H&E · 16 patches cut from one gastric biopsy slide · 300×300 px each.
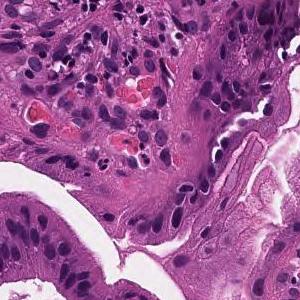
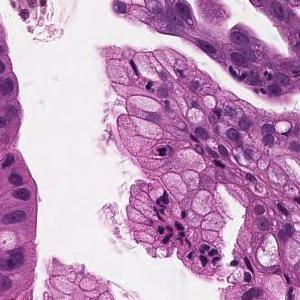
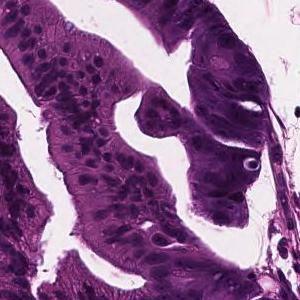
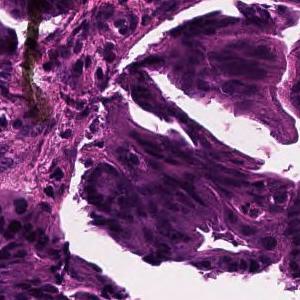
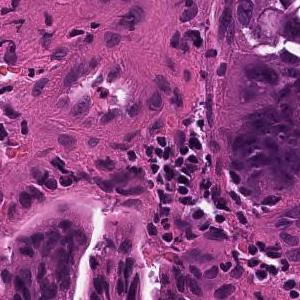
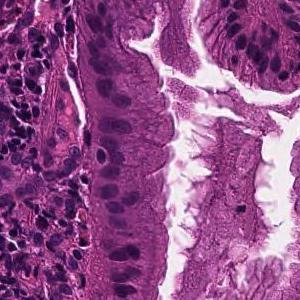
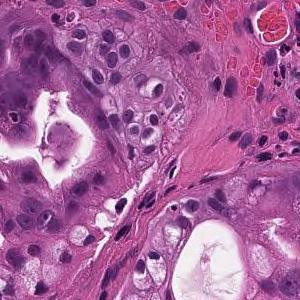
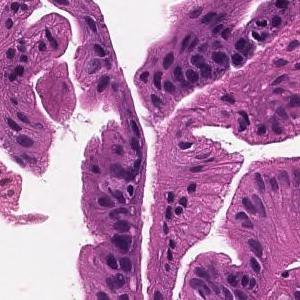
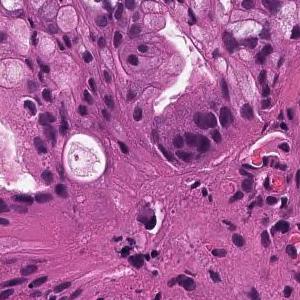
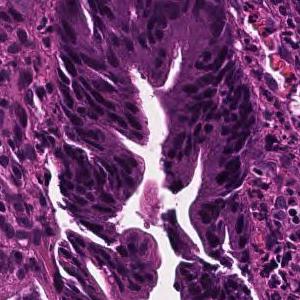
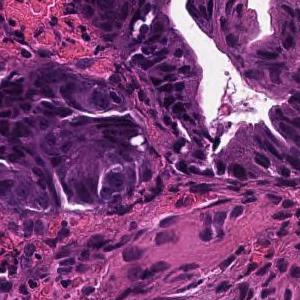
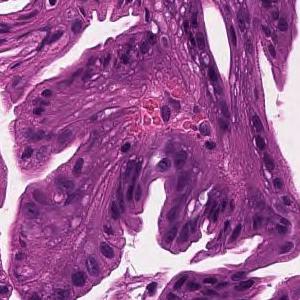
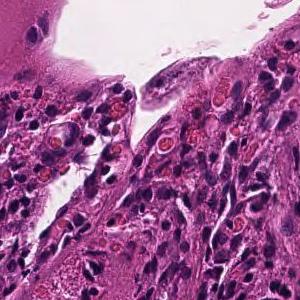
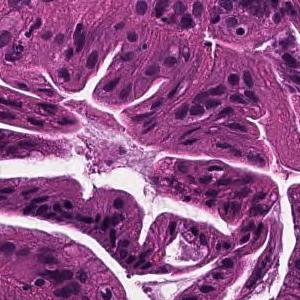
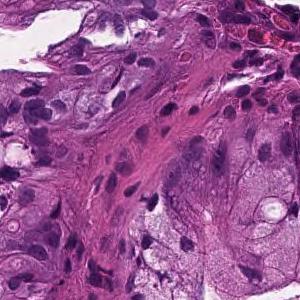
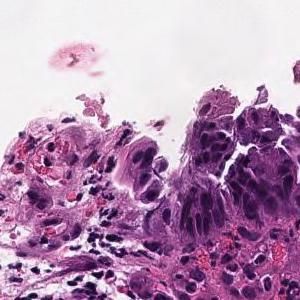
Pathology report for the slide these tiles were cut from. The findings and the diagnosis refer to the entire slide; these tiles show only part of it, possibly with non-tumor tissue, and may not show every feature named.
Tumor cells are large, highly columnar, large club-shaped nuclei, and are associated with chromatin aggregation. Papillary adenocarcinoma.
